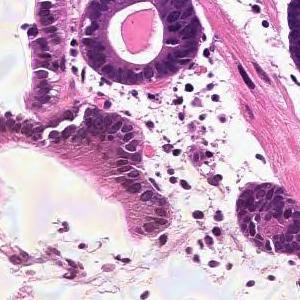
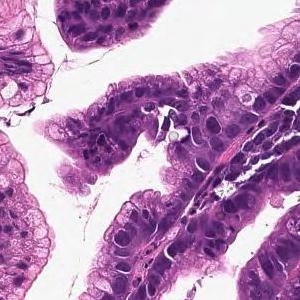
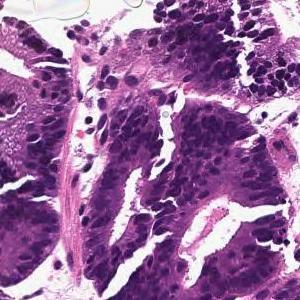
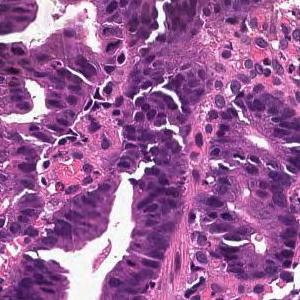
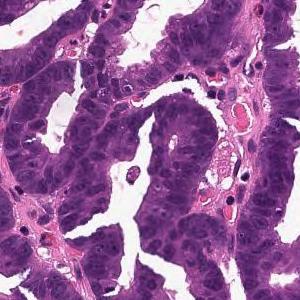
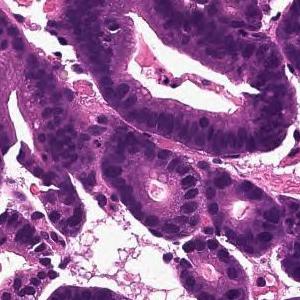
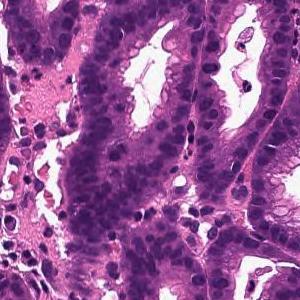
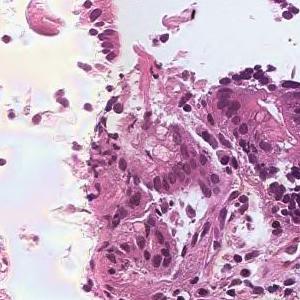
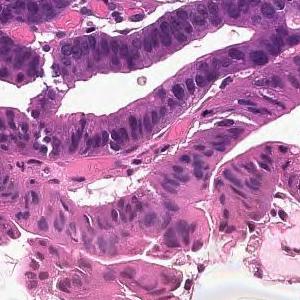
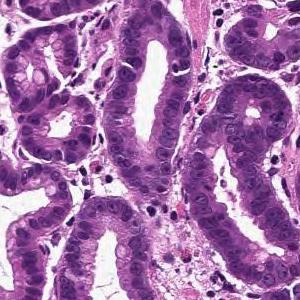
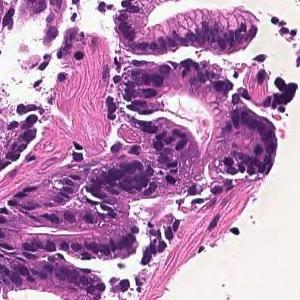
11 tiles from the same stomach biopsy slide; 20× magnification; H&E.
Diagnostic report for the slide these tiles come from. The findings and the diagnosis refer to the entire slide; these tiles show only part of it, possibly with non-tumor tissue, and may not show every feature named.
From the superficial epithelium to the muscularis mucosae, tumor tissue consisting of medium-sized and irregular glandular ducts infiltrating is observed. Well differentiated tubular adenocarcinoma
